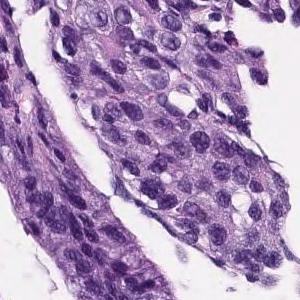
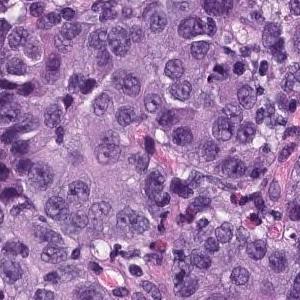
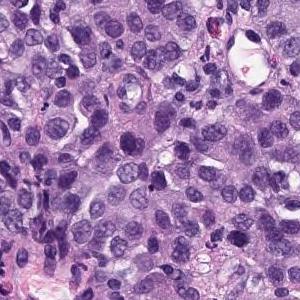
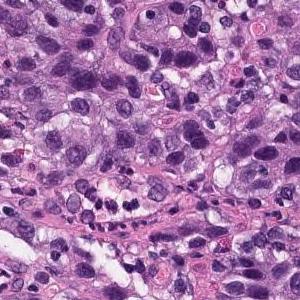
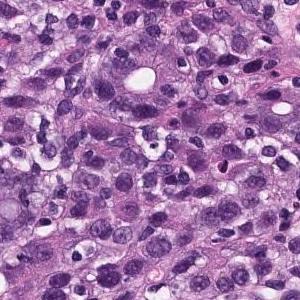
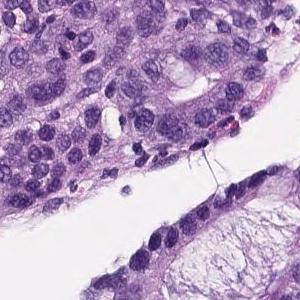
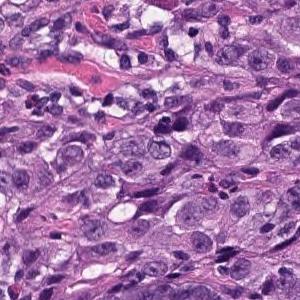
Scanned at ×20; H&E; 7 tiles from the same stomach biopsy slide; 300 × 300 pixels each.
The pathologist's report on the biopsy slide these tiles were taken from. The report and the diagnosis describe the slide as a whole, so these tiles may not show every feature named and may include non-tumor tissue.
In the superficial epithelium, tumor tissue that invades by forming medium-sized to small, irregular ducts is observed. Moderately differentiated adenocarcinoma.
Histological subtype: Moderately differentiated tubular adenocarcinoma.
